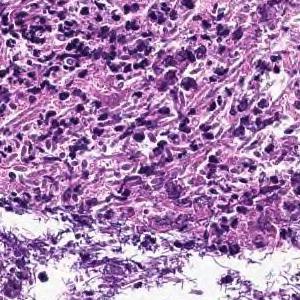
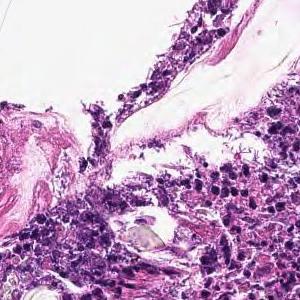
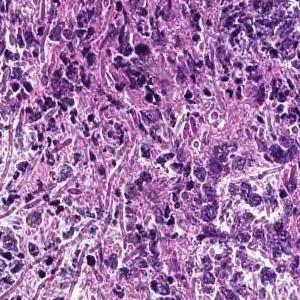
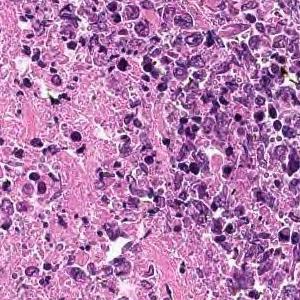
H&E; 4 image tiles from a single gastric biopsy slide; each 300 × 300 pixels.
Pathology report for the slide these tiles were cut from. The report and the diagnosis cover the entire slide, so not every feature they name need be visible here, and some tissue shown may not be tumor.
Cancers with polygonal nuclei do not show glandular formation and are densely, in part, cord-like and proliferate. Poorly differentiated adenocarcinoma
Classified as poorly differentiated adenocarcinoma, non-solid type.
"Non-solid type" is a category of the Japanese Classification of Gastric Carcinoma.
